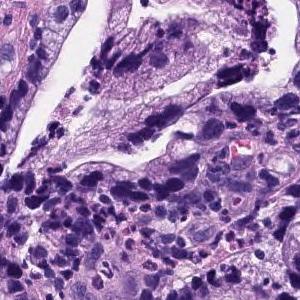
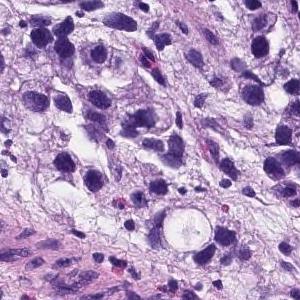
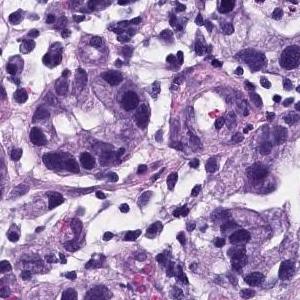
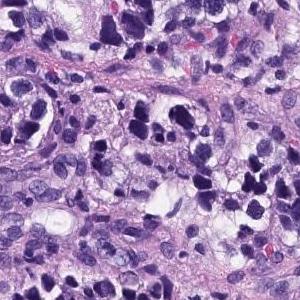
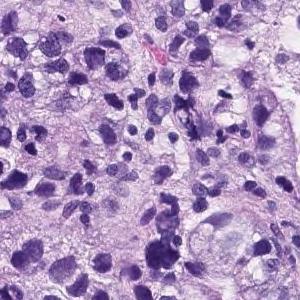
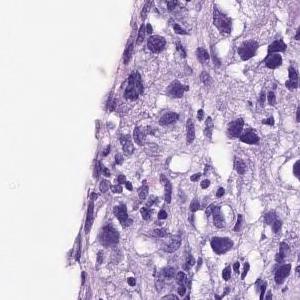
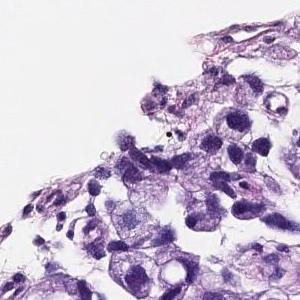
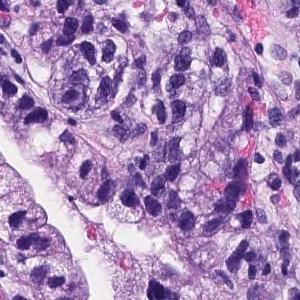
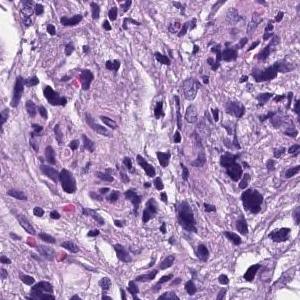
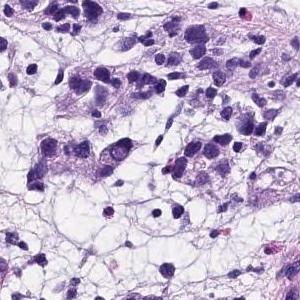
10 tiles cut from one stomach biopsy slide, 300 × 300 pixels each, 20× magnification, H&E.
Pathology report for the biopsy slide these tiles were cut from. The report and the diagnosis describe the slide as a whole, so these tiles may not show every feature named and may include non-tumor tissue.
Medium to small, irregular glandular ducts are formed in the superficial epithelium, and in some cases, the glandular ducts are fused to show solid alveolar lesions and infiltrating tumor tissue is observed. Poorly differentiated adenocarcinoma, Moderately differentiated adenocarcinoma.
Dataset label: moderately differentiated tubular adenocarcinoma.
